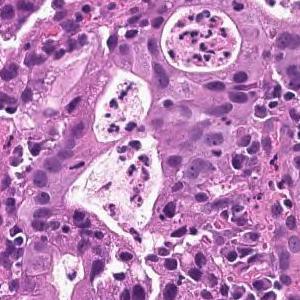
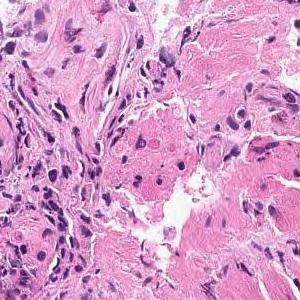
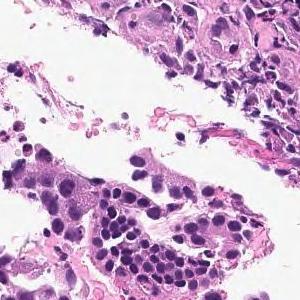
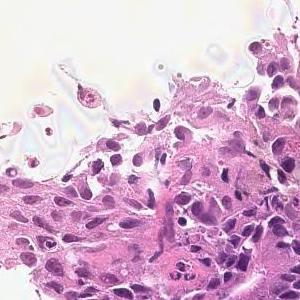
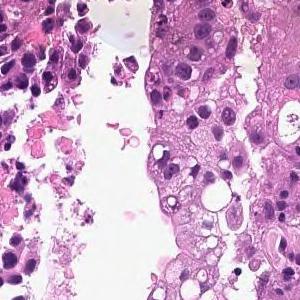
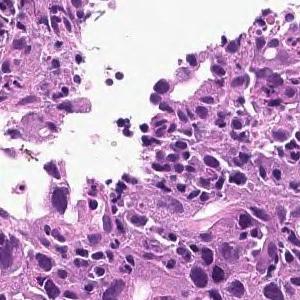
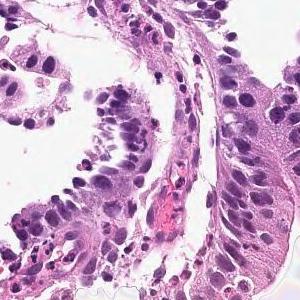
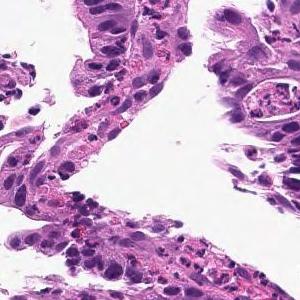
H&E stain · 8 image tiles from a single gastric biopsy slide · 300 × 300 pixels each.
Pathology report for the biopsy slide these tiles were cut from. The report describes the whole slide, diagnosis included: not every finding it names need appear in these tiles, which may also show non-tumor tissue.
On the superficial epithelium, tumor tissue consisting of large irregular glandular ducts partially fused and infiltrated is observed. Well to moderately differentiated tubular adenocarcinoma (well differentiated tubular adenocarcinoma, moderately differentiated tubular adenocarcinoma)
Subtype: Well to moderately differentiated tubular adenocarcinoma.
